×20, H&E stain, 10 tiles from the same stomach biopsy slide, each 300 × 300 pixels.
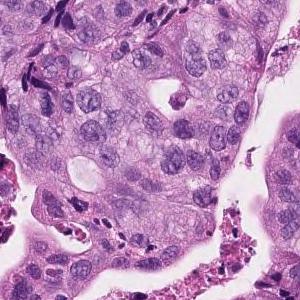
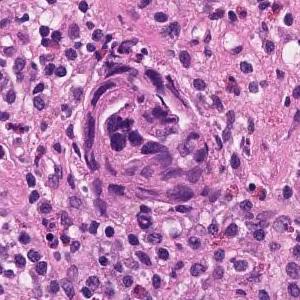
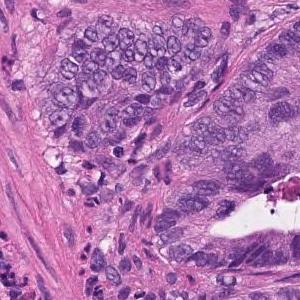
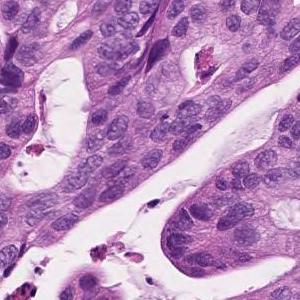
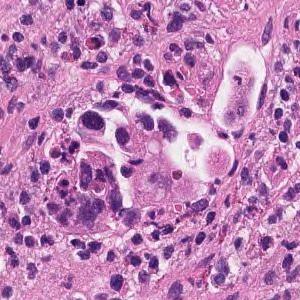
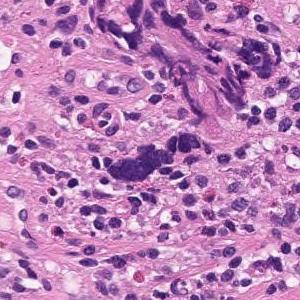
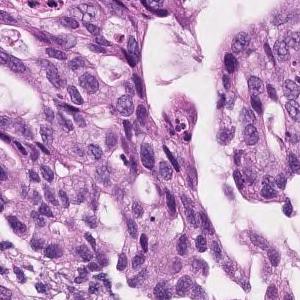
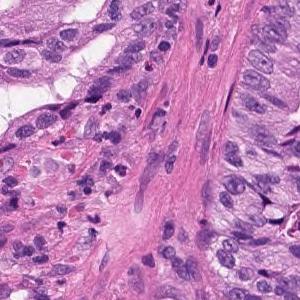
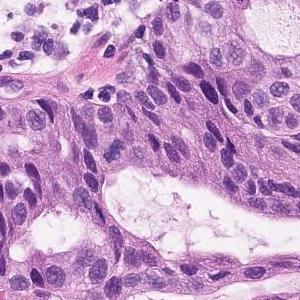
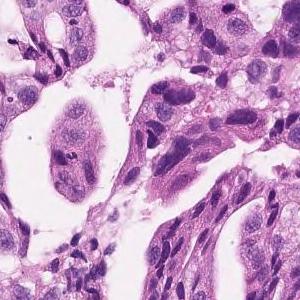
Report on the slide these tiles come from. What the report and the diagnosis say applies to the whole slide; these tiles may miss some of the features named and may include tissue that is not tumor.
Atypical epithelium forming papillary or sieving ducts and infiltrating growth is observed. Papillary adenocarcinoma.
